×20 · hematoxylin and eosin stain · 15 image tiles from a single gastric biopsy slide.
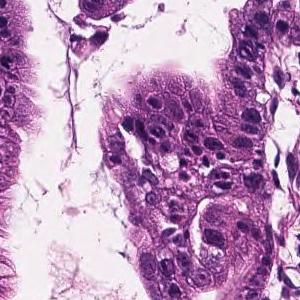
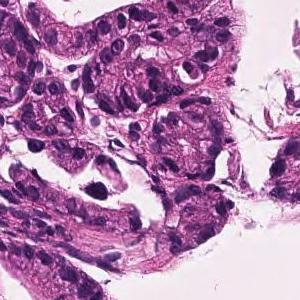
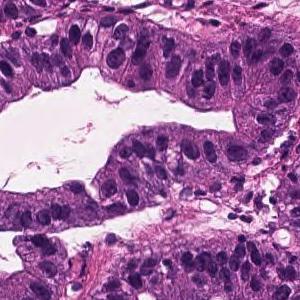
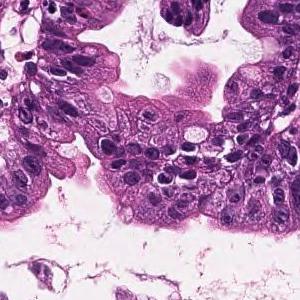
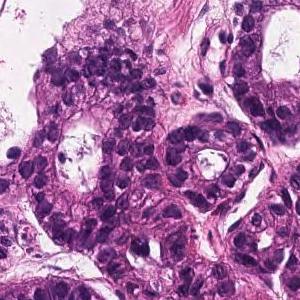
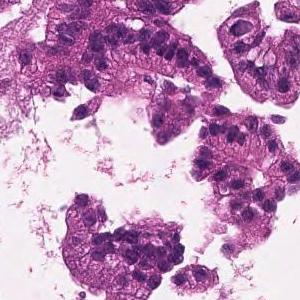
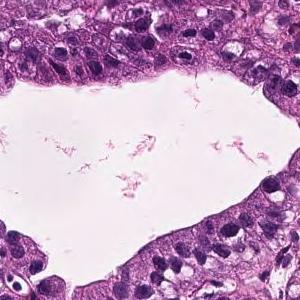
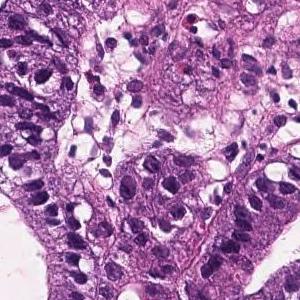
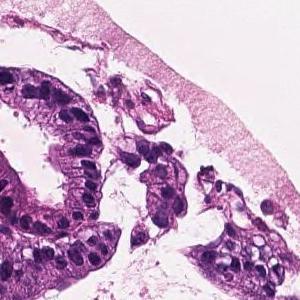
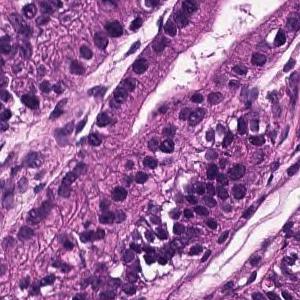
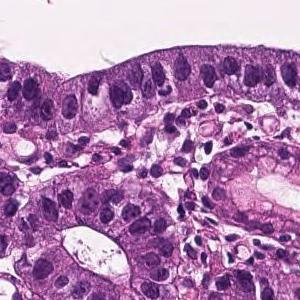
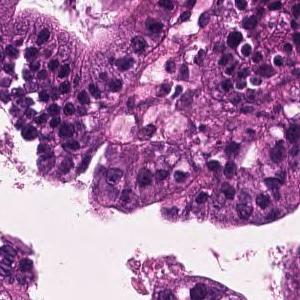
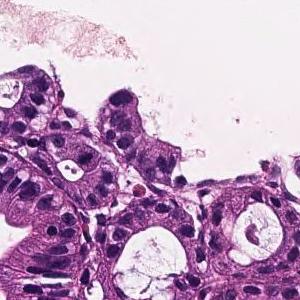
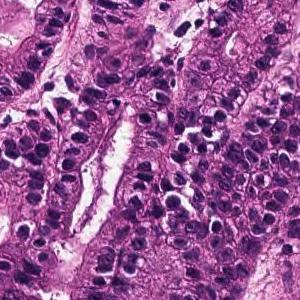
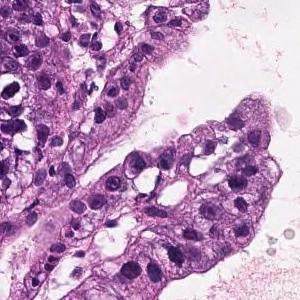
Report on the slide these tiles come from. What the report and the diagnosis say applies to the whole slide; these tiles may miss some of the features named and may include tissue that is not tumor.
On the superficial epithelium, tumor tissue that infiltrates by forming medium-sized papillary or small irregular ducts is observed. Papillary adenocarcinoma
